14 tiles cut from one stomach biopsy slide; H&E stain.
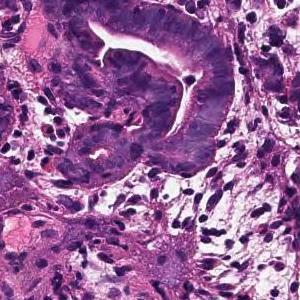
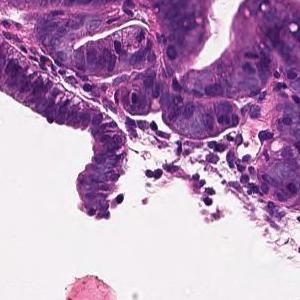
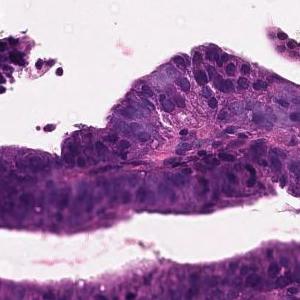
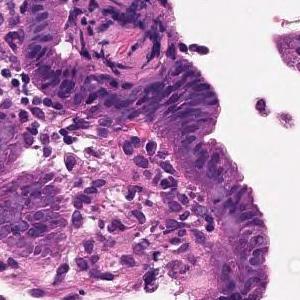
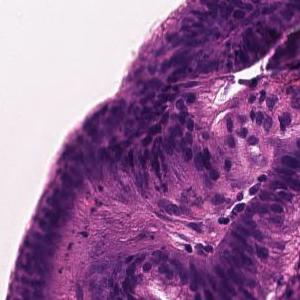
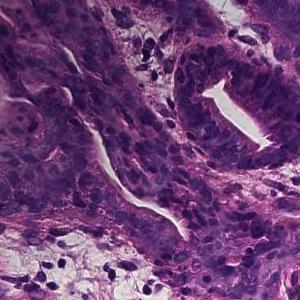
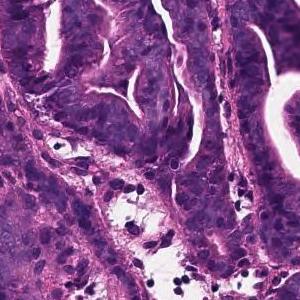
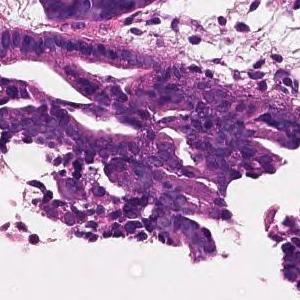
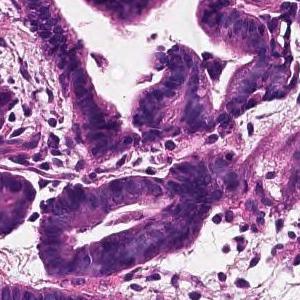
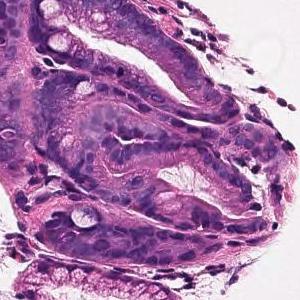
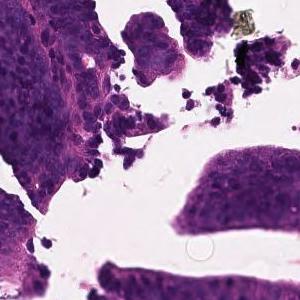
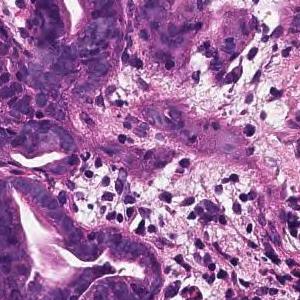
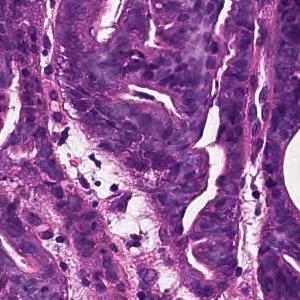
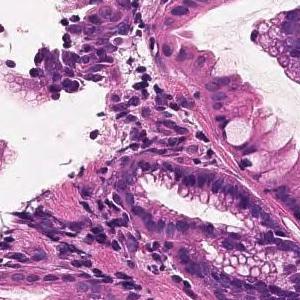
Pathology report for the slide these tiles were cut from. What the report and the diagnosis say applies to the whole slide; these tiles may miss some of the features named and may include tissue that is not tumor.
Tumor cells are large, highly columnar, large club-shaped nuclei, and are associated with chromatin aggregation. Papillary adenocarcinoma.
